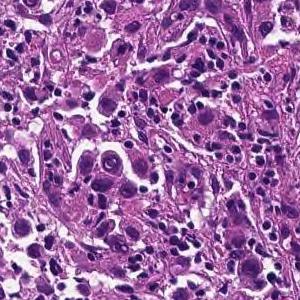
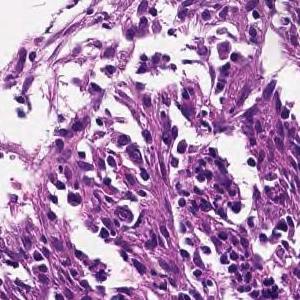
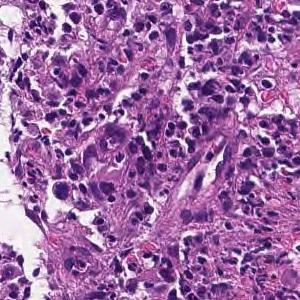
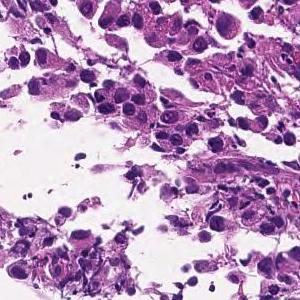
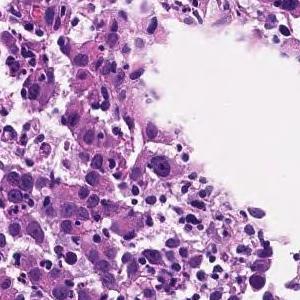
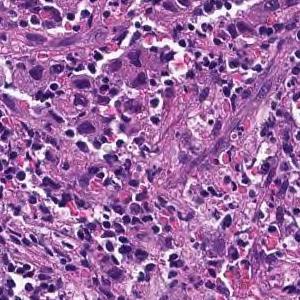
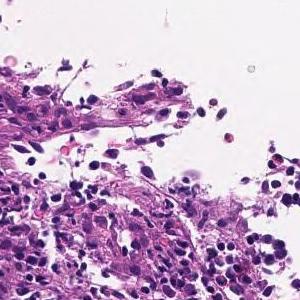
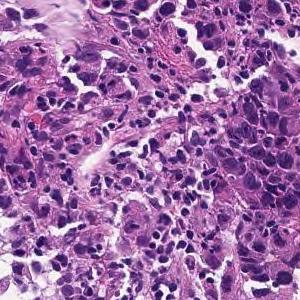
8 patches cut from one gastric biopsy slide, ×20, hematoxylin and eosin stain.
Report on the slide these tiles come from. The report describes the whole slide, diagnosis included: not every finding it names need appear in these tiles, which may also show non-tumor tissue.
The superficial epithelium shows a large sheet-like shape, and some tumor tissue infiltrates with small irregular ducts. Poorly differentiated adenocarcinoma, solid-type (poorly differentiated adenocarcinoma, solid type)
Tumor subtype: poorly differentiated adenocarcinoma, solid type, a category of the Japanese Classification of Gastric Carcinoma; in the WHO 2019 classification it is tubular adenocarcinoma, poorly differentiated.
